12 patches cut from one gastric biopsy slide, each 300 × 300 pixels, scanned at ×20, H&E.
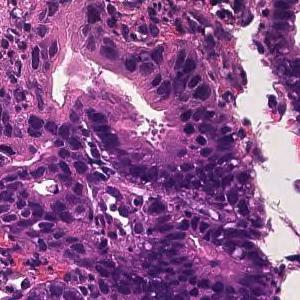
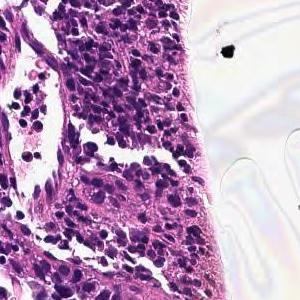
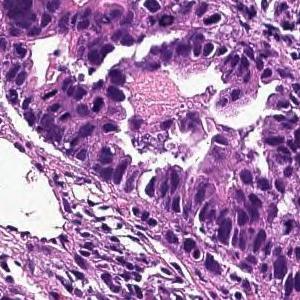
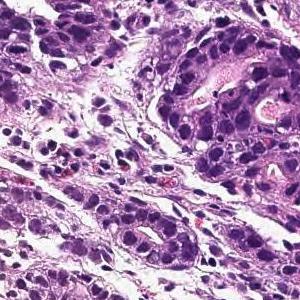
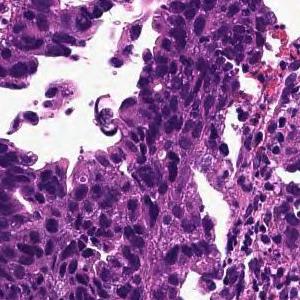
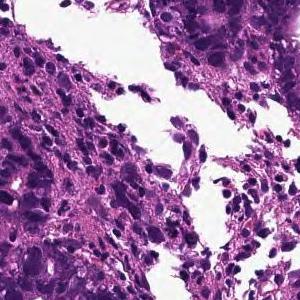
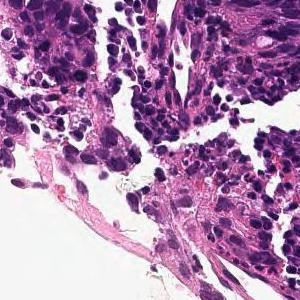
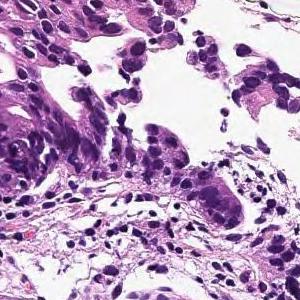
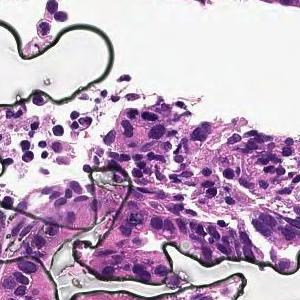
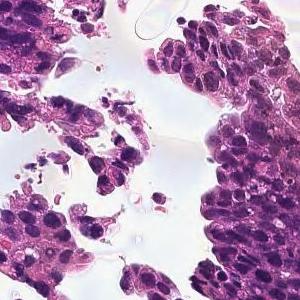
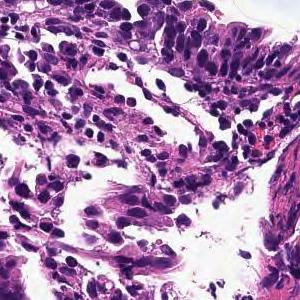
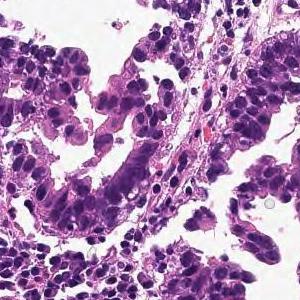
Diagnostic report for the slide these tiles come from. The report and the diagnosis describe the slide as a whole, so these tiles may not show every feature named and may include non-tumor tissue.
In the superficial epithelium, tumor tissue that invades by forming medium-sized to small, irregular ducts is observed. moderately differentiated tubular adenocarcinoma.
